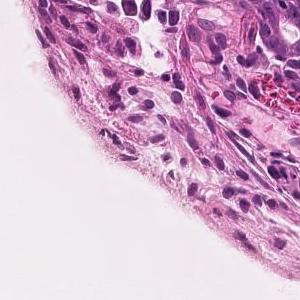
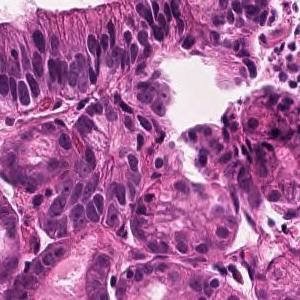
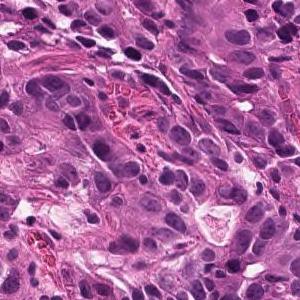
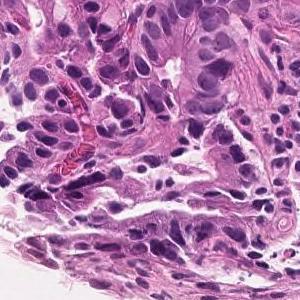
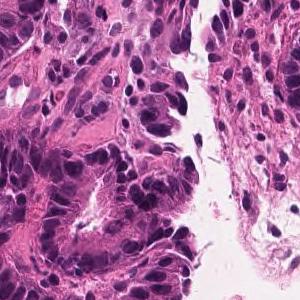
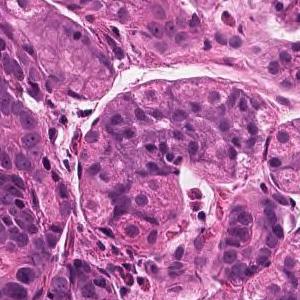
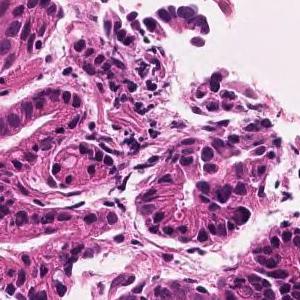
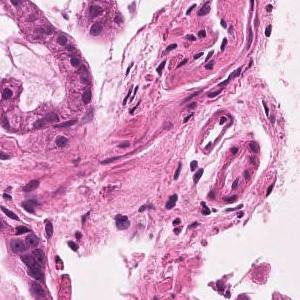
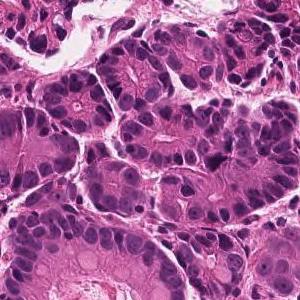
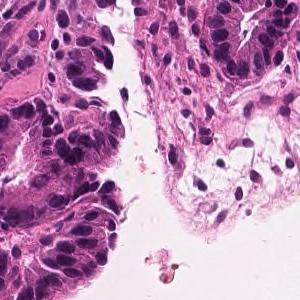
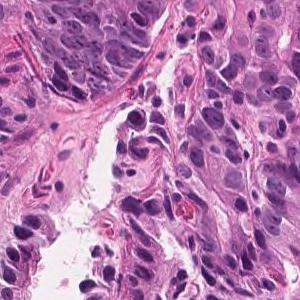
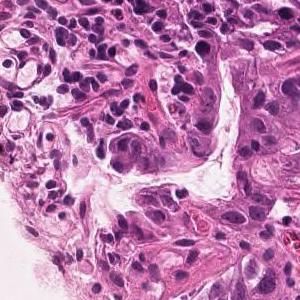
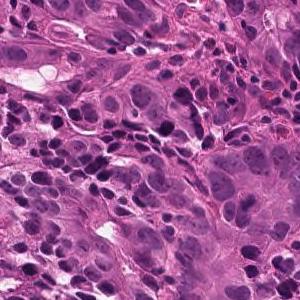
H&E · 20× magnification · 13 tiles cut from one stomach biopsy slide · 300 × 300 pixels each.
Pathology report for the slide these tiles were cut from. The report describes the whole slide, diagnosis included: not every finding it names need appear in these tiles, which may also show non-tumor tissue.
In the superficial epithelium, tumor tissue that invades by forming medium-sized to small, irregular ducts is observed. Well differentiated tubular adenocarcinoma.
